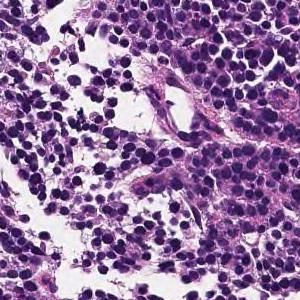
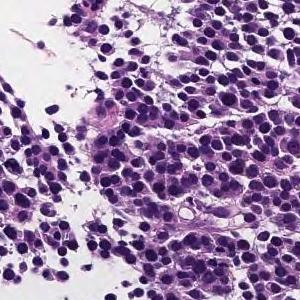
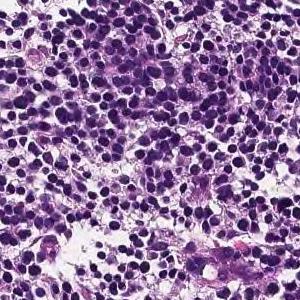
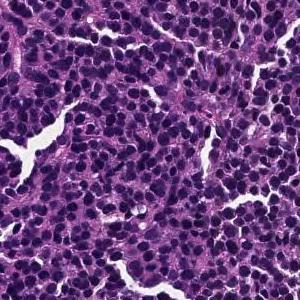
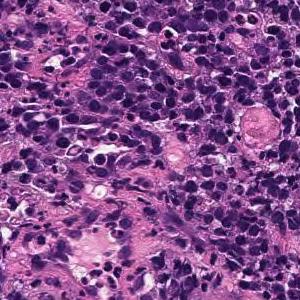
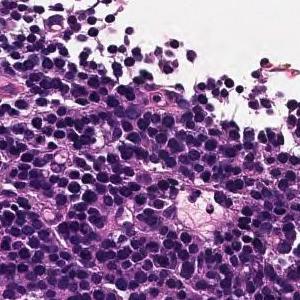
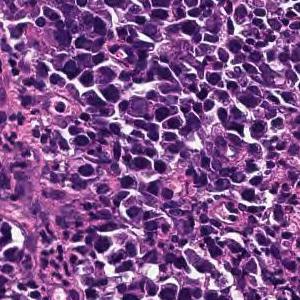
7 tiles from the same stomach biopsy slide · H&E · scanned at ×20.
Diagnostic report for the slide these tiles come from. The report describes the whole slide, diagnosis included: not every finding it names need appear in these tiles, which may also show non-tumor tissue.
Large sheet-like or diffusely infiltrating tumor tissue is found in the superficial epithelium. Poorly differentiated adenocarcinoma, solid-type
Histological subtype: Poorly differentiated adenocarcinoma, solid type (Japanese Classification of Gastric Carcinoma). The WHO 2019 equivalent is tubular adenocarcinoma, poorly differentiated.
